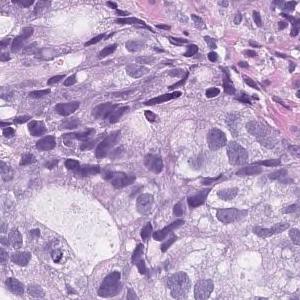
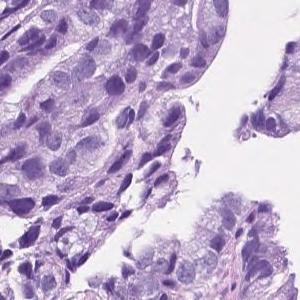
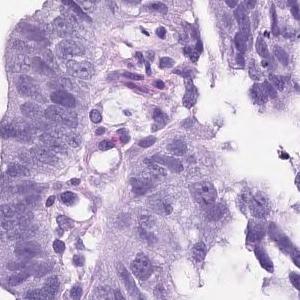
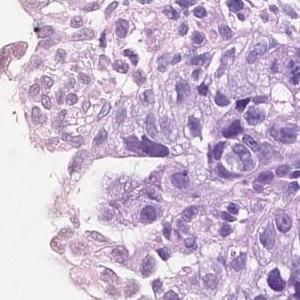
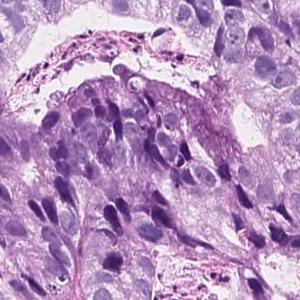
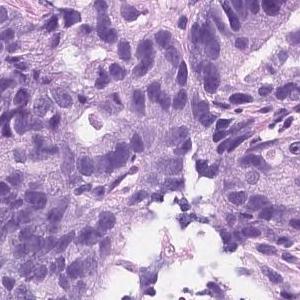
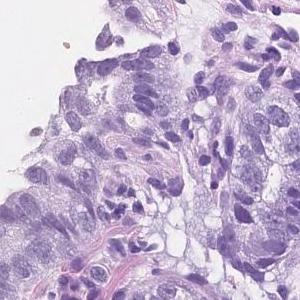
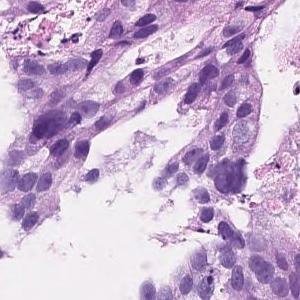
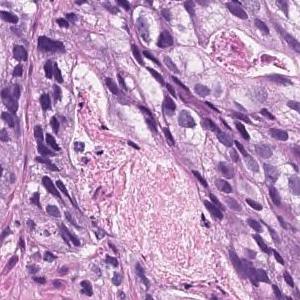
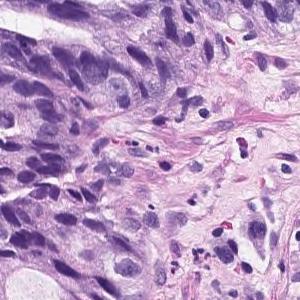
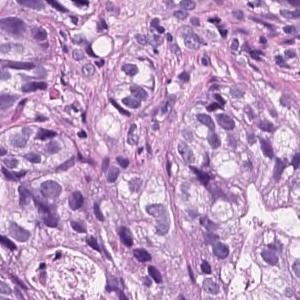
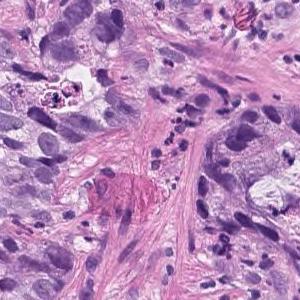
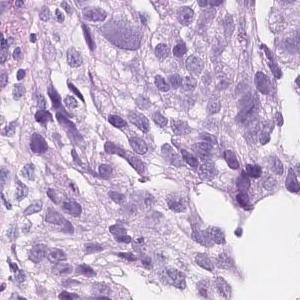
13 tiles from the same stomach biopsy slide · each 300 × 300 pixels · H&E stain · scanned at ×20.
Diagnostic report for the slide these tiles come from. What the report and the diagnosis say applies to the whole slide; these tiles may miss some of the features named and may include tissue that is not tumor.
On the superficial epithelium, tumor tissue consisting of an image of large, irregular glandular ducts partially fused and infiltrated is observed. Well to moderately differentiated tubular adenocarcinoma
